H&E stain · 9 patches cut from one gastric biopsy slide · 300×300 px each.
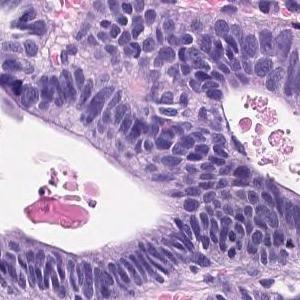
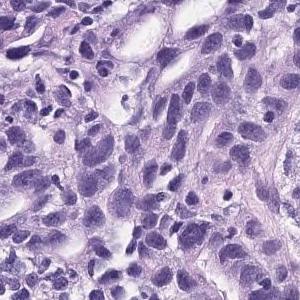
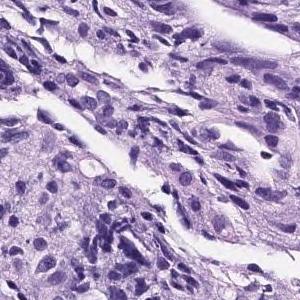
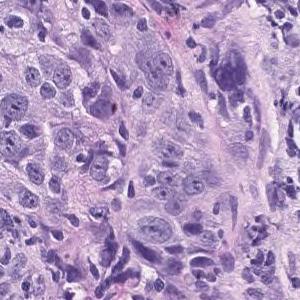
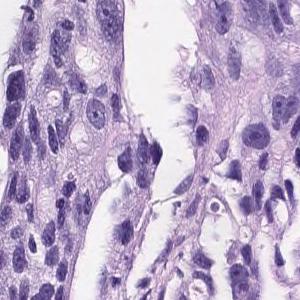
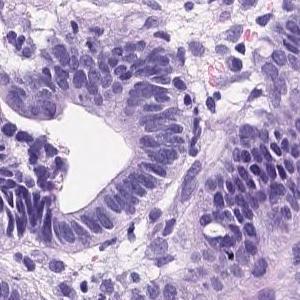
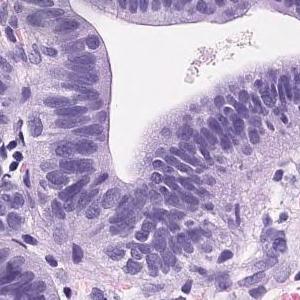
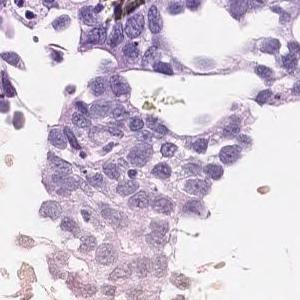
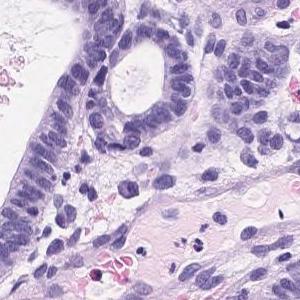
Diagnostic report for the slide these tiles come from. The report and the diagnosis cover the entire slide, so not every feature they name need be visible here, and some tissue shown may not be tumor.
The superficial epithelium shows a large sheet-like shape, and some tumor tissue infiltrates with small irregular ducts. Poorly differentiated adenocarcinoma, solid-type
Subtype: Poorly differentiated adenocarcinoma, solid type, a category of the Japanese Classification of Gastric Carcinoma; in the WHO 2019 classification it is tubular adenocarcinoma, poorly differentiated.
